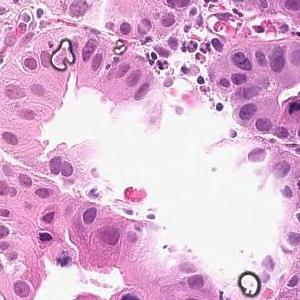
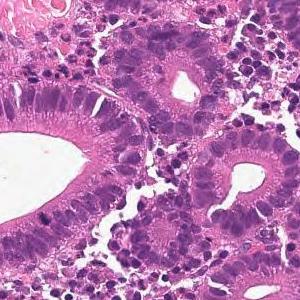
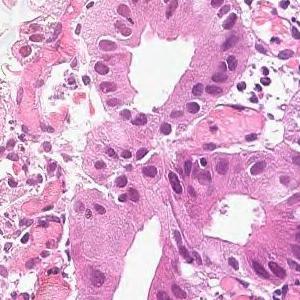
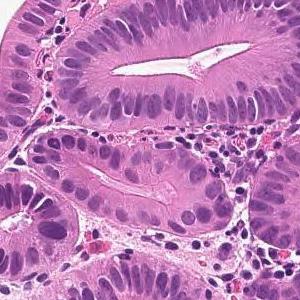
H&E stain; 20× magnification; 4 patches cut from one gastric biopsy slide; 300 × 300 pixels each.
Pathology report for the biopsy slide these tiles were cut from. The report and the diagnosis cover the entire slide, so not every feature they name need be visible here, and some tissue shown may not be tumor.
From the superficial epithelium to the muscularis mucosae, tumor tissue consisting of medium-sized and irregular glandular ducts infiltrating is observed. Well differentiated tubular adenocarcinoma
